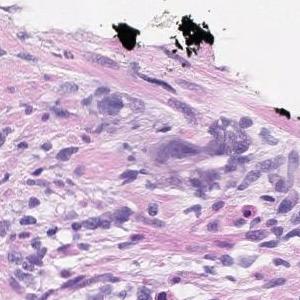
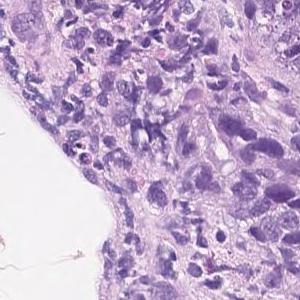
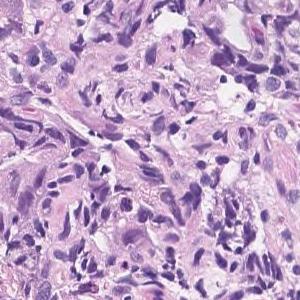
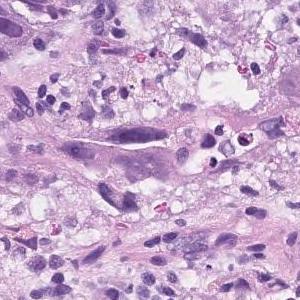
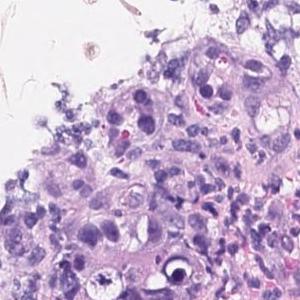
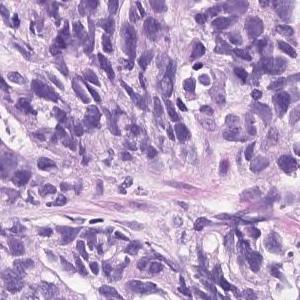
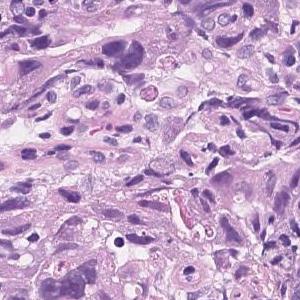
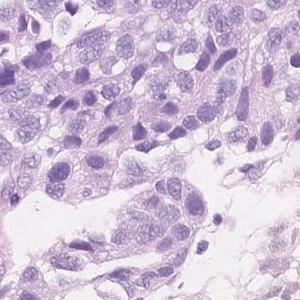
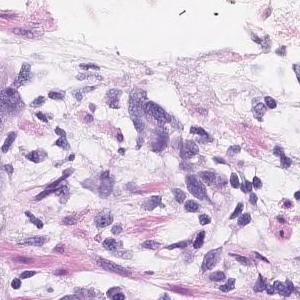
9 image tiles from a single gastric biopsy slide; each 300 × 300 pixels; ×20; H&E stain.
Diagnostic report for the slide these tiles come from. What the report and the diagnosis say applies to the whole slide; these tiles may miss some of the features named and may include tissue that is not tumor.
Atypical epithelial cells infiltrating and proliferating diffusely or while forming vesicles is observed. Poorly differentiated adenocarcinoma (poorly differentiated adenocarcinoma, solid type moderately differentiated tubular adenocarcinoma)
The dataset labels this slide poorly differentiated adenocarcinoma, solid type (Japanese Classification of Gastric Carcinoma). The WHO 2019 equivalent is tubular adenocarcinoma, poorly differentiated.
